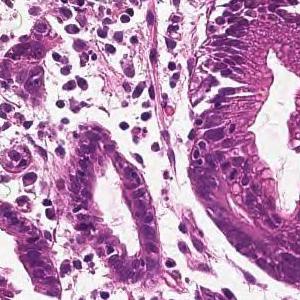
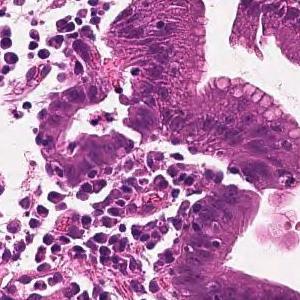
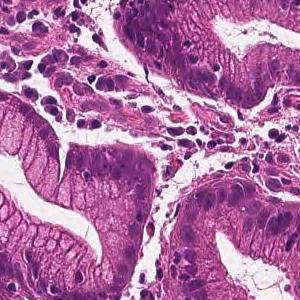
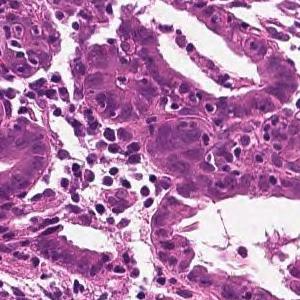
H&E · 20× magnification · 4 tiles from the same stomach biopsy slide · 300 × 300 pixels each.
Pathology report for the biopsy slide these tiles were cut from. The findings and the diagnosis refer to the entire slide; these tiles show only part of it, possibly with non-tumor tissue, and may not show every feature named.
On the superficial epithelium, tumor tissue is found in which medium-sized irregular gland ducts fuse with each other and infiltrate. moderately differentiated tubular adenocarcinoma
